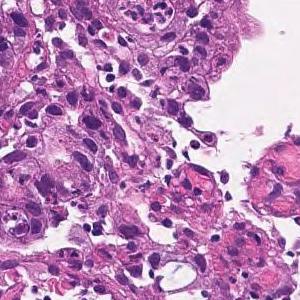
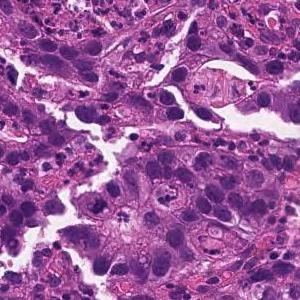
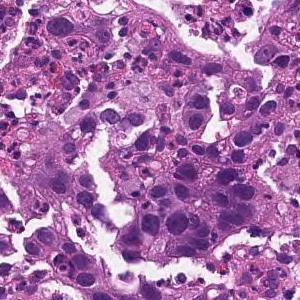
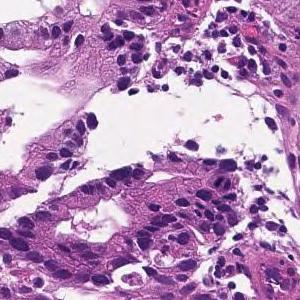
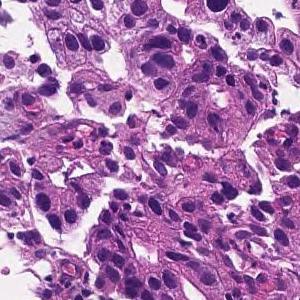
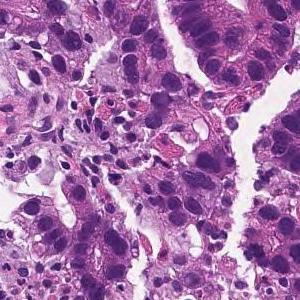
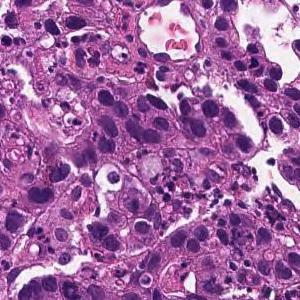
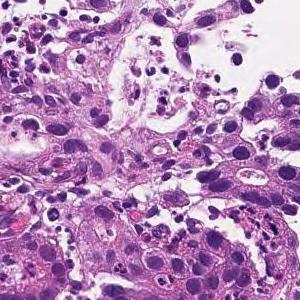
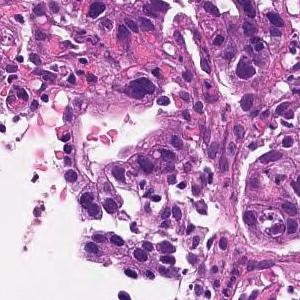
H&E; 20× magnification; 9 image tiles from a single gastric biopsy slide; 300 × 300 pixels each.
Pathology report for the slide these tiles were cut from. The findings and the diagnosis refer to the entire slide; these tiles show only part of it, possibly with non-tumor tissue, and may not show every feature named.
Medium to small, irregular glandular ducts are formed in the superficial epithelium, and in some cases, the glandular ducts are fused to show solid alveolar lesions and infiltrating tumor tissue is observed. Moderately to poorly differentiated adenocarcinoma.
